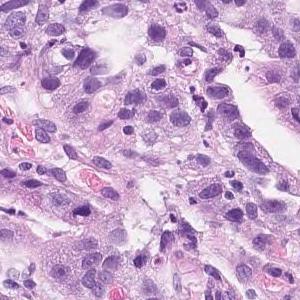
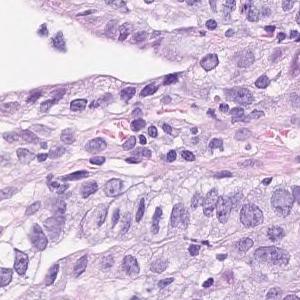
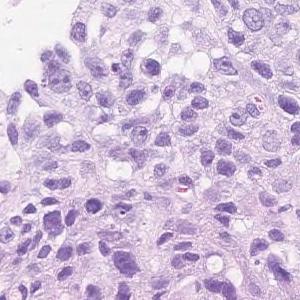
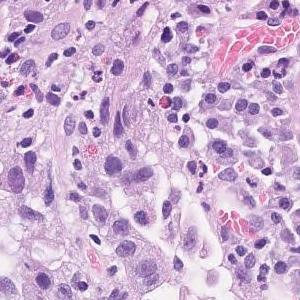
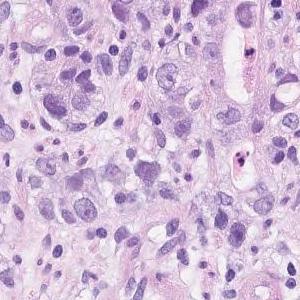
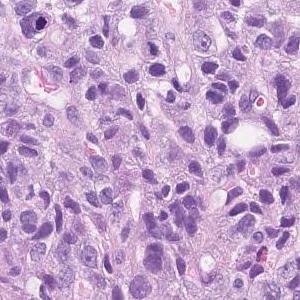
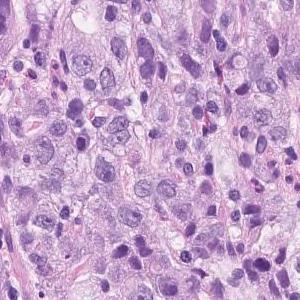
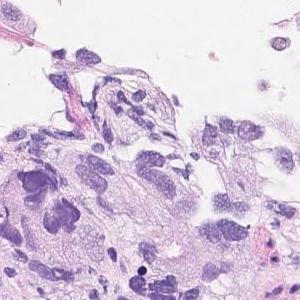
8 tiles from the same stomach biopsy slide, 300 × 300 pixels each, ×20, hematoxylin and eosin stain.
Pathology report for the slide these tiles were cut from. The findings and the diagnosis refer to the entire slide; these tiles show only part of it, possibly with non-tumor tissue, and may not show every feature named.
In the superficial epithelium, tumor tissue that invades by forming medium-sized to small, irregular ducts is observed. Moderately to poorly differentiated adenocarcinoma
